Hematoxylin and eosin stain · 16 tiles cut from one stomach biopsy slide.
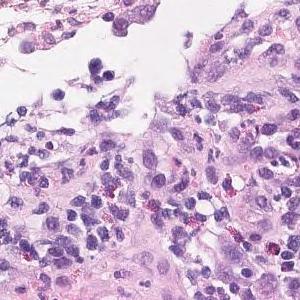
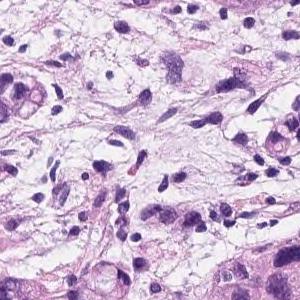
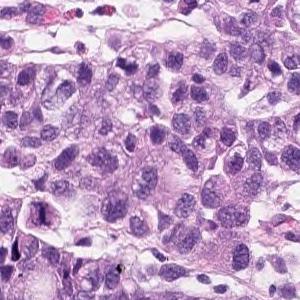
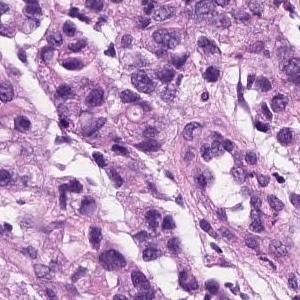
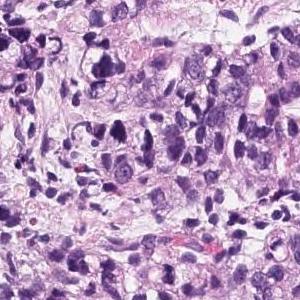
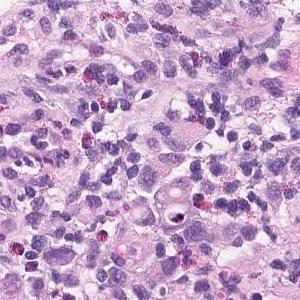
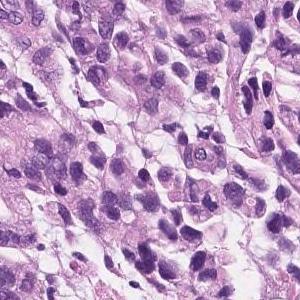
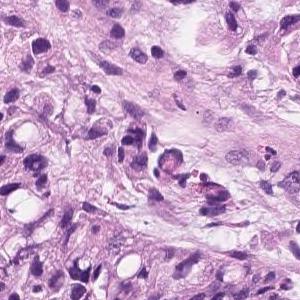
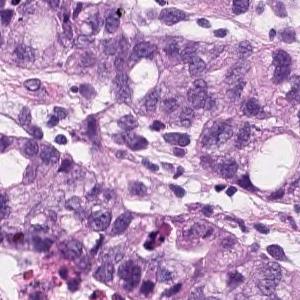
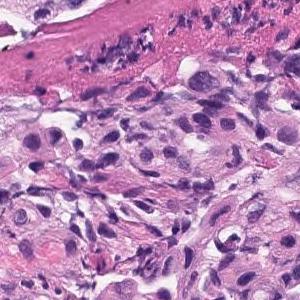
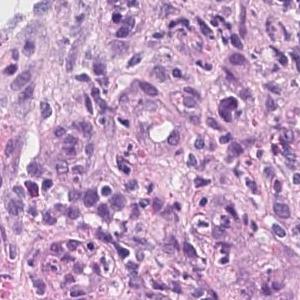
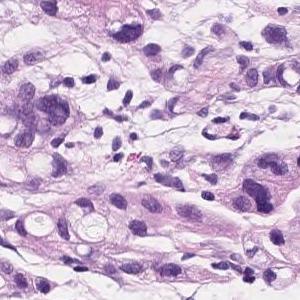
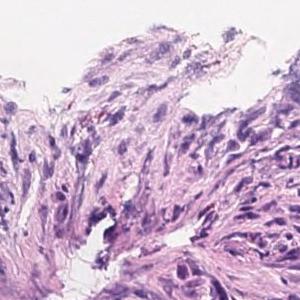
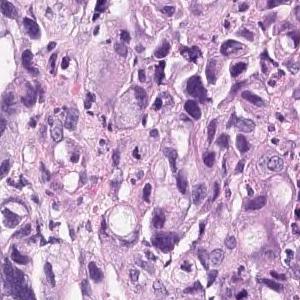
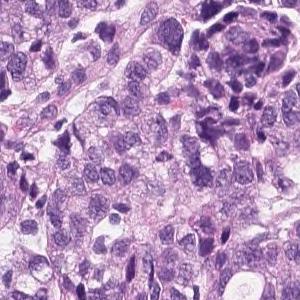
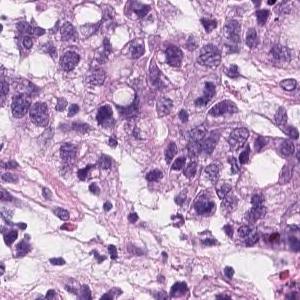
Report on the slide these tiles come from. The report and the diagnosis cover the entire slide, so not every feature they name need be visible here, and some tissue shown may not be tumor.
Group 5, Adenocarcinoma. Poorly differentiated adenocarcinoma, non-solid type
The term "non-solid type" comes from the Japanese Classification of Gastric Carcinoma.
